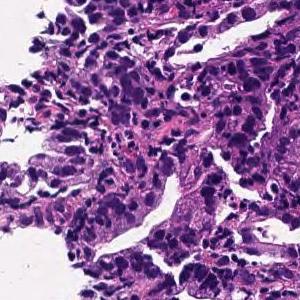
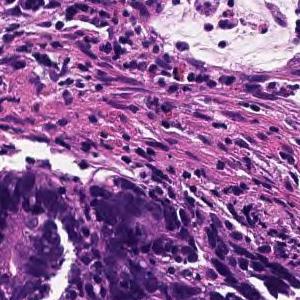
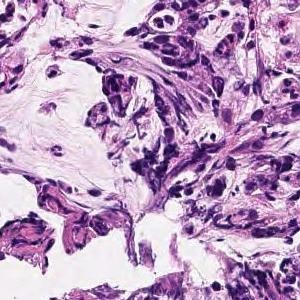
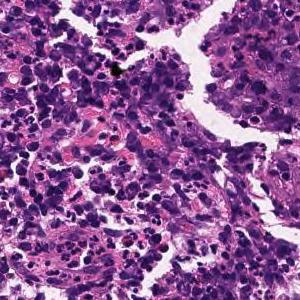
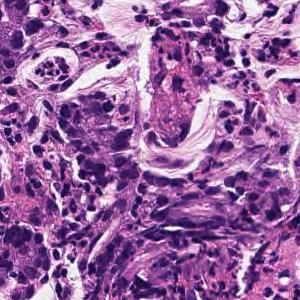
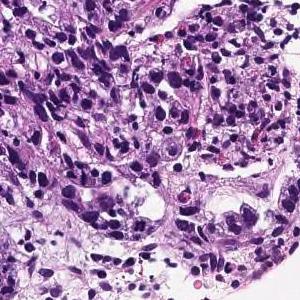
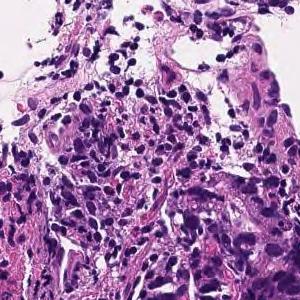
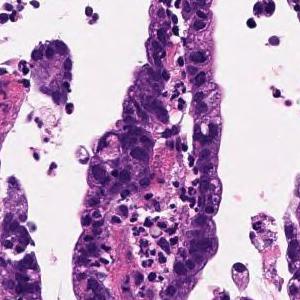
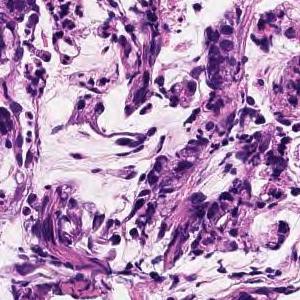
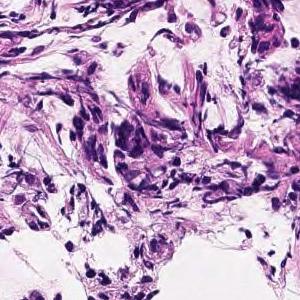
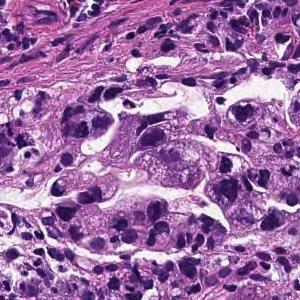
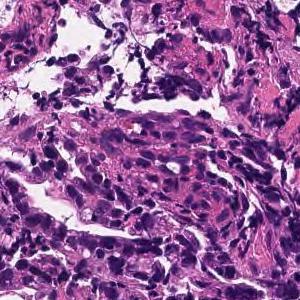
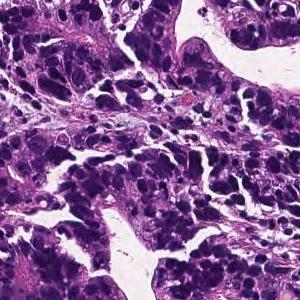
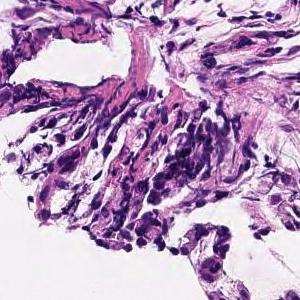
14 image tiles from a single gastric biopsy slide, 300 × 300 pixels each, 20× magnification.
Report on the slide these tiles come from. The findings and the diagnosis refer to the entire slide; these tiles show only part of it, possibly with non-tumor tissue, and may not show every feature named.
On the superficial epithelium, tumor tissue consisting of large, irregular glandular ducts partially fused and infiltrated is observed. Well to moderately differentiated tubular adenocarcinoma (well differentiated tubular adenocarcinoma, moderately differentiated tubular adenocarcinoma)
Subtype: Well to moderately differentiated tubular adenocarcinoma.
